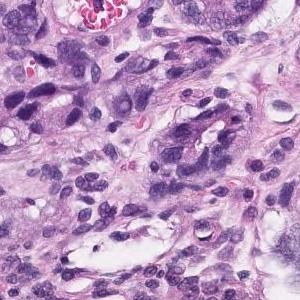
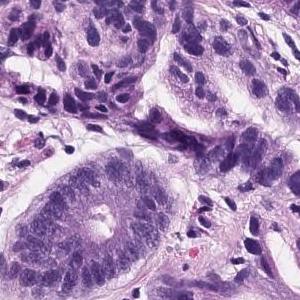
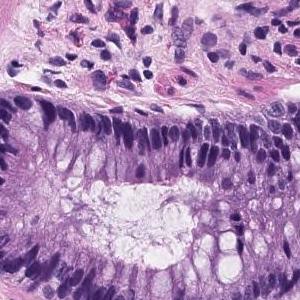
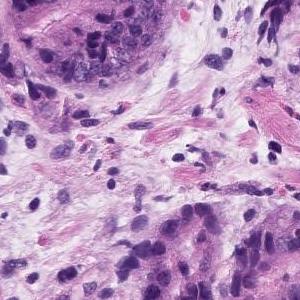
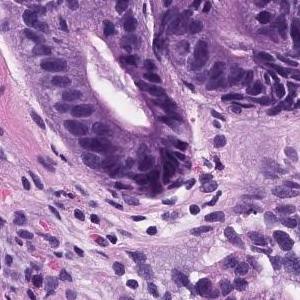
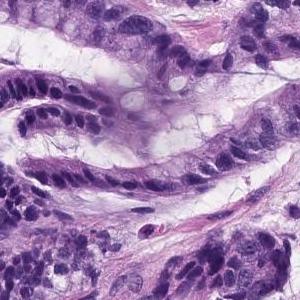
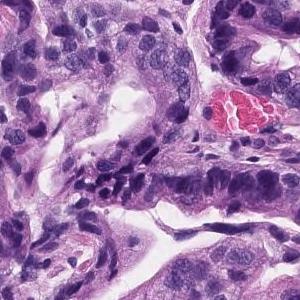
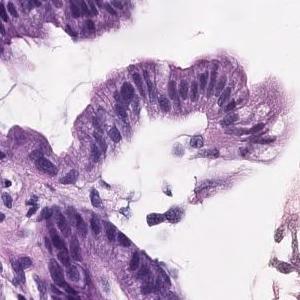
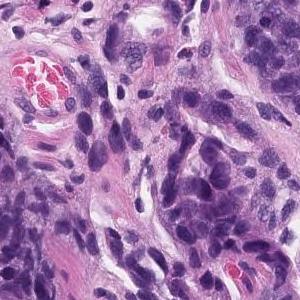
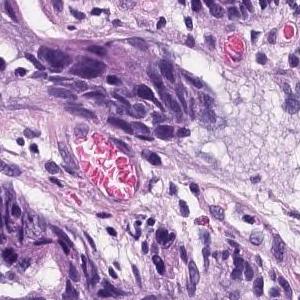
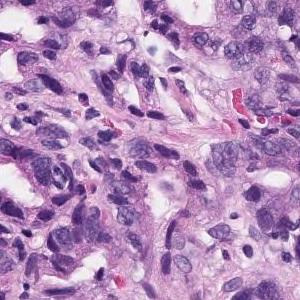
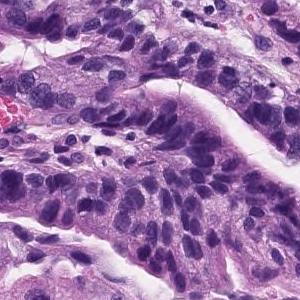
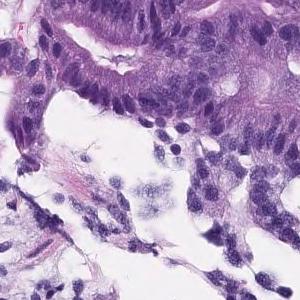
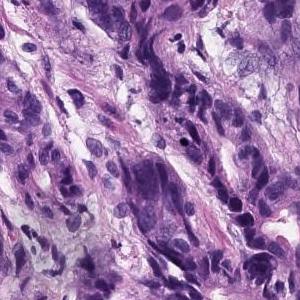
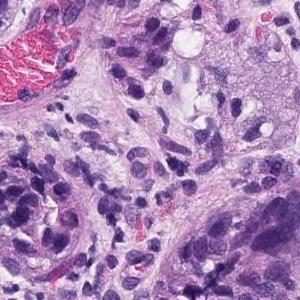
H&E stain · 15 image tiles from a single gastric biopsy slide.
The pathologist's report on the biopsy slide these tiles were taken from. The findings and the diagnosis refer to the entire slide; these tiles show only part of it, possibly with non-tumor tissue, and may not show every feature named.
In the superficial epithelium, tumor tissue that invades by forming medium-sized to small, irregular ducts is observed. Moderately differentiated adenocarcinoma.
Tumor subtype: moderately differentiated tubular adenocarcinoma.
